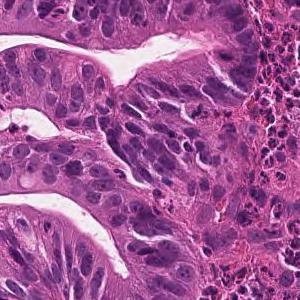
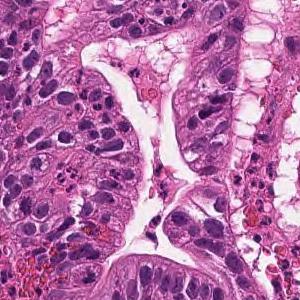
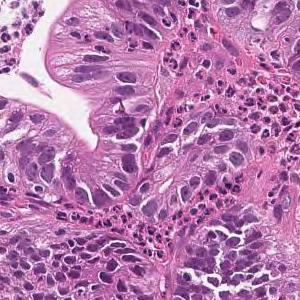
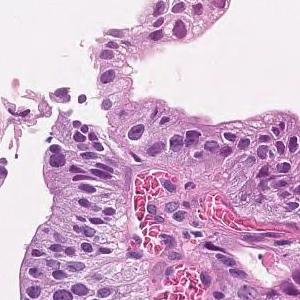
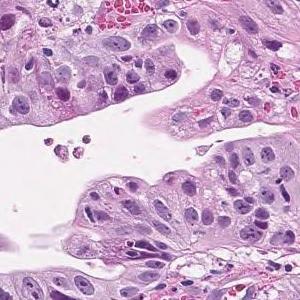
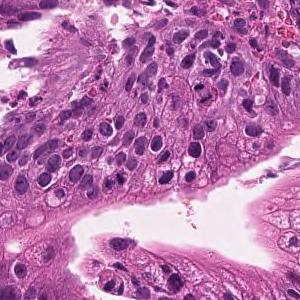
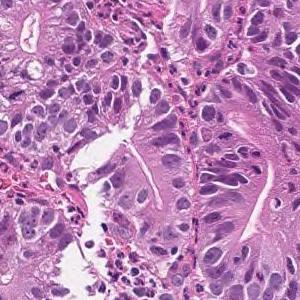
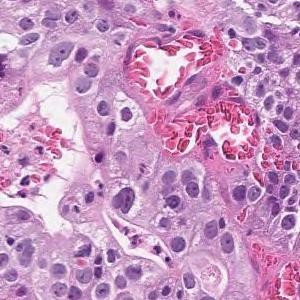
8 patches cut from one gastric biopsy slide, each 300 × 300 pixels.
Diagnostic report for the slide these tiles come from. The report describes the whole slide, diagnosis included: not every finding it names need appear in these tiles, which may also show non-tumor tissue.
Tumor cells are large, highly columnar, large club-shaped nuclei, and are associated with chromatin aggregation. Papillary adenocarcinoma.
